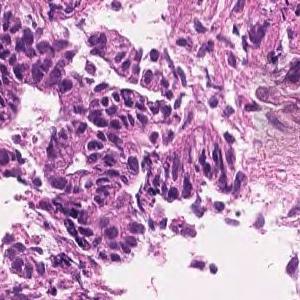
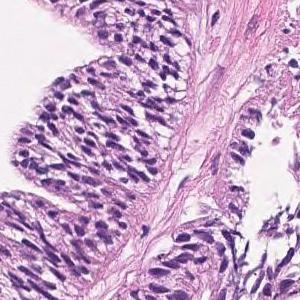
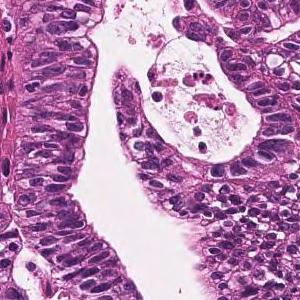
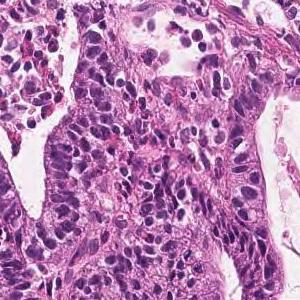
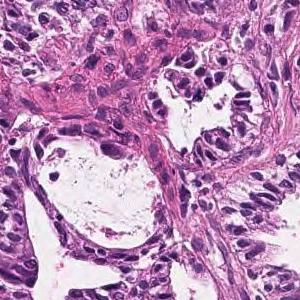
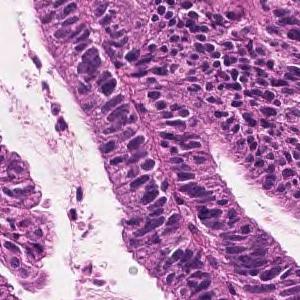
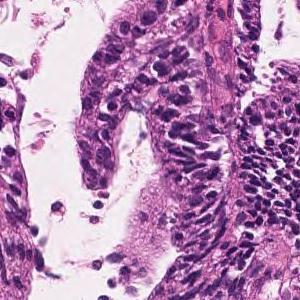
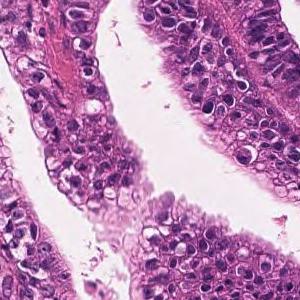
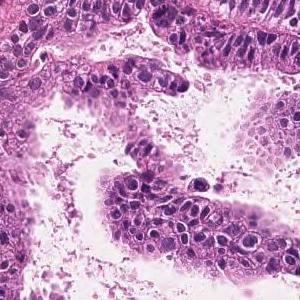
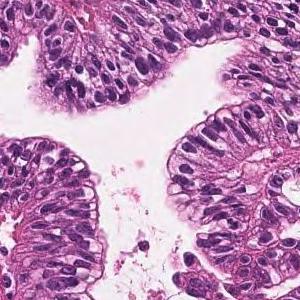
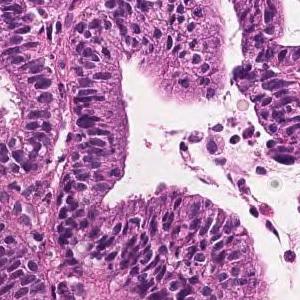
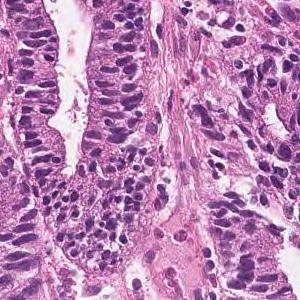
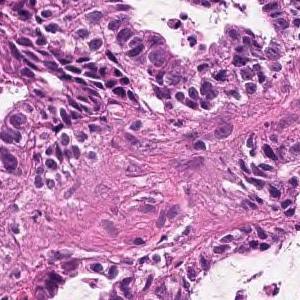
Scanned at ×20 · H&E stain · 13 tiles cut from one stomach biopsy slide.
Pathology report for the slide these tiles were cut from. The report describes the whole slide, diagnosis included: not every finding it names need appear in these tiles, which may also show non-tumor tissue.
Tumor cells are large, highly columnar, large club-shaped nuclei, and are associated with chromatin aggregation. Papillary adenocarcinoma.
